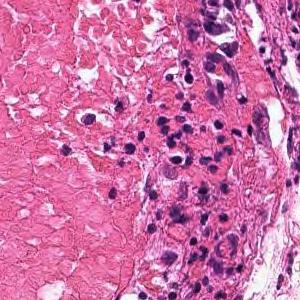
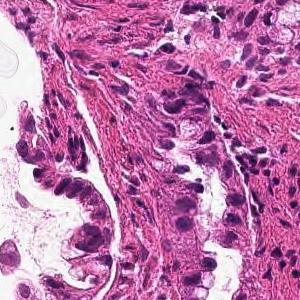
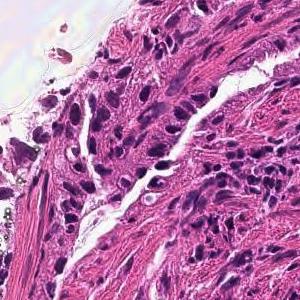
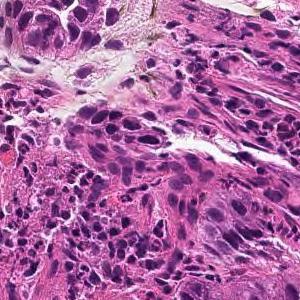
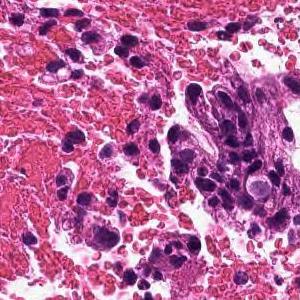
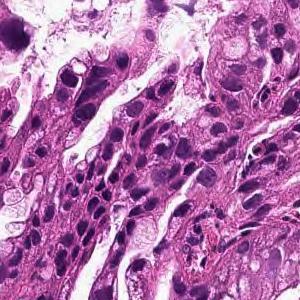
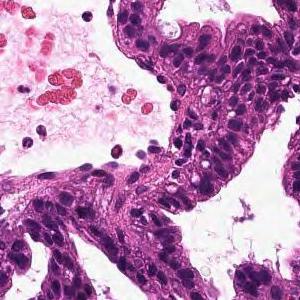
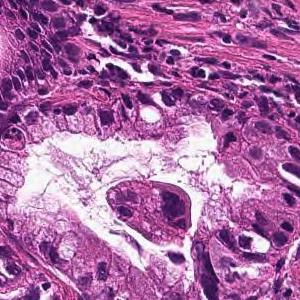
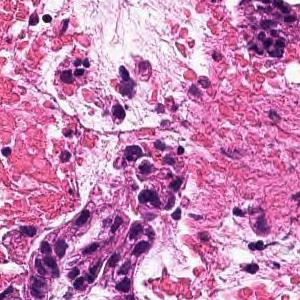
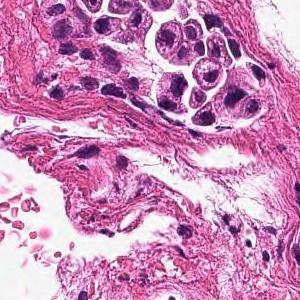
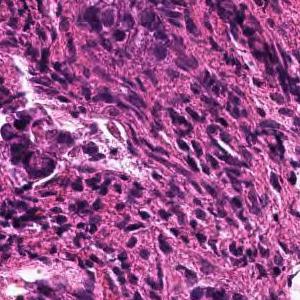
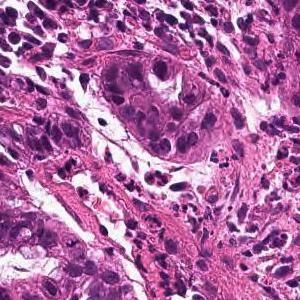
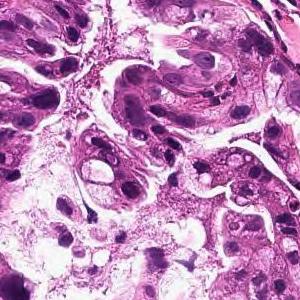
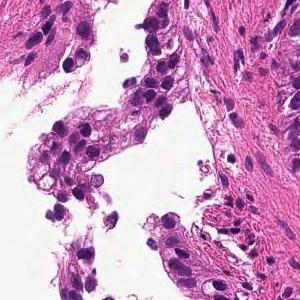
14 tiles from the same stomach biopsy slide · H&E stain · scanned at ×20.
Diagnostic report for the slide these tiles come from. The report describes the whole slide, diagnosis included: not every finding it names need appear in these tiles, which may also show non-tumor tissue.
From the superficial epithelium to the muscularis mucosae, tumor tissue infiltrating by forming medium-sized irregular gland ducts is observed. Well differentiated tubular adenocarcinoma
